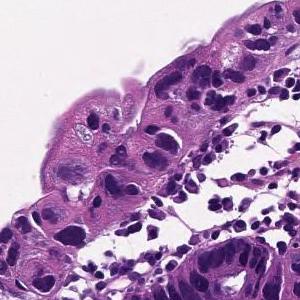
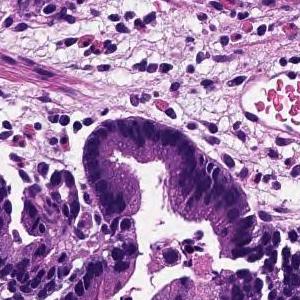
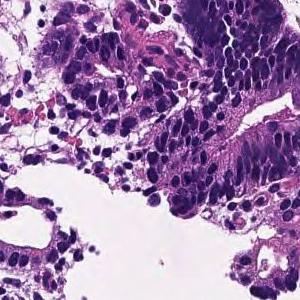
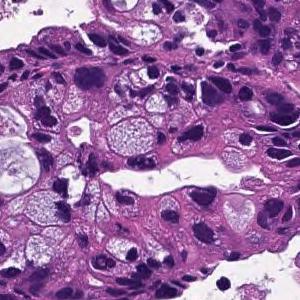
4 tiles cut from one stomach biopsy slide · each 300 × 300 pixels · H&E · 20× magnification.
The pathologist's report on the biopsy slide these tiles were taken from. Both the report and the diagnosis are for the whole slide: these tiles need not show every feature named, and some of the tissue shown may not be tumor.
In the superficial epithelium, tumor tissue that invades by forming medium-sized to small, irregular ducts is observed. moderately differentiated tubular adenocarcinoma.
